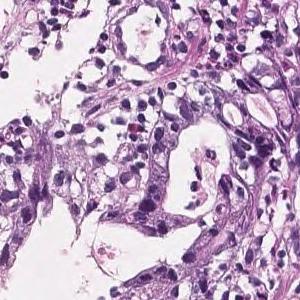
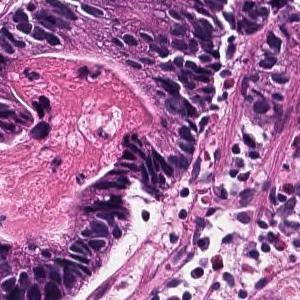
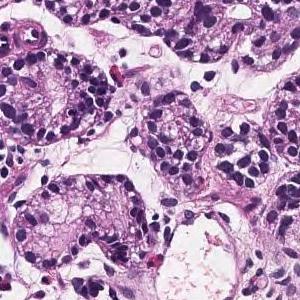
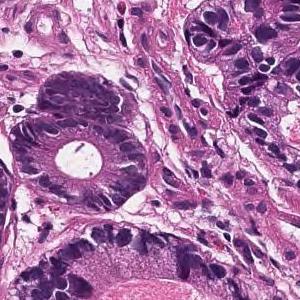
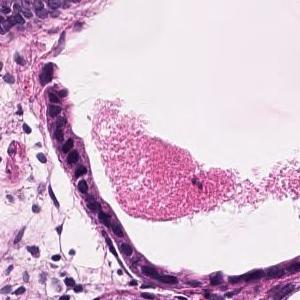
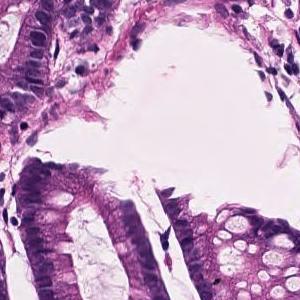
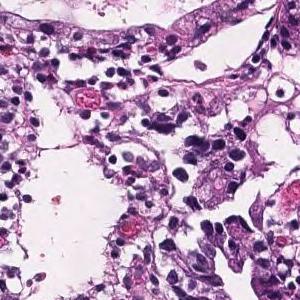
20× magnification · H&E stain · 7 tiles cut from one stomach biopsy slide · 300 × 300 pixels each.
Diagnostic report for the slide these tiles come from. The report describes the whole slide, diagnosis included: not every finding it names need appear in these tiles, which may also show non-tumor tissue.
Tumor tissue consisting of medium-sized and irregular ducts is observed infiltrating in the superficial epithelium. Tumor cells are highly columnar, with nuclei aligned basolaterally and polarized. Well differentiated tubular adenocarcinoma.
